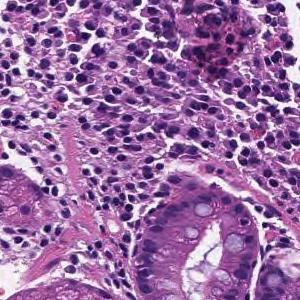
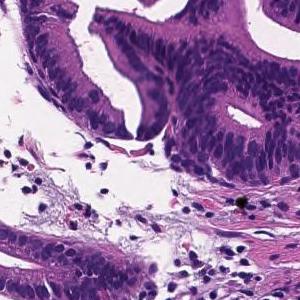
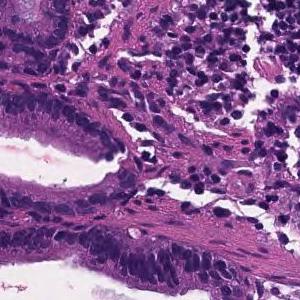
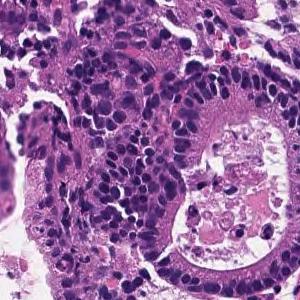
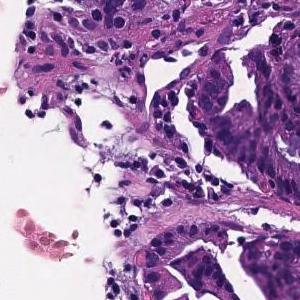
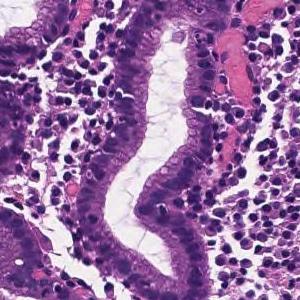
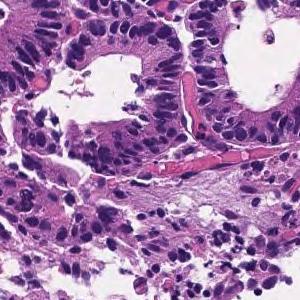
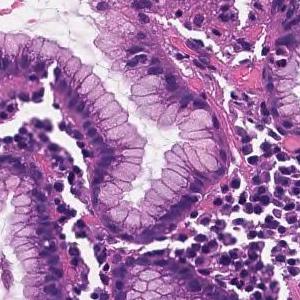
8 image tiles from a single gastric biopsy slide; 300×300 px each; scanned at ×20.
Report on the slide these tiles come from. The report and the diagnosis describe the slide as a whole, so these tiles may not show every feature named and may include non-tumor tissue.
From the superficial epithelium to the muscularis mucosae, tumor tissue consisting of medium-sized and irregular glandular ducts infiltrating is observed. Well differentiated tubular adenocarcinoma
